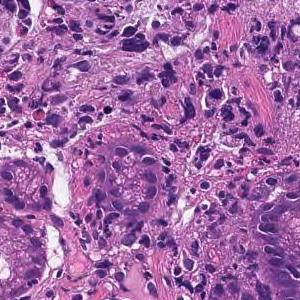
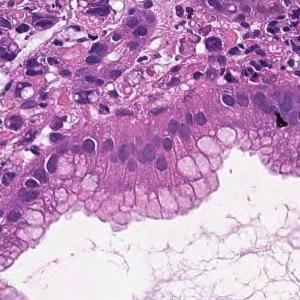
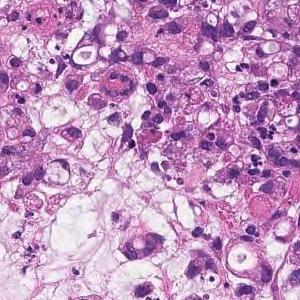
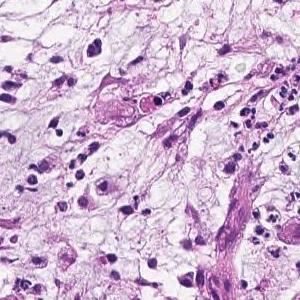
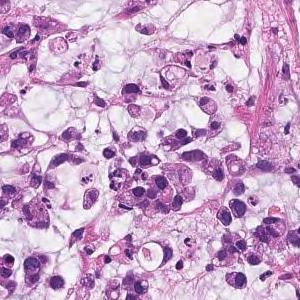
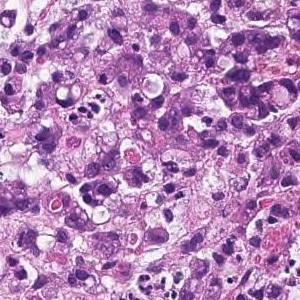
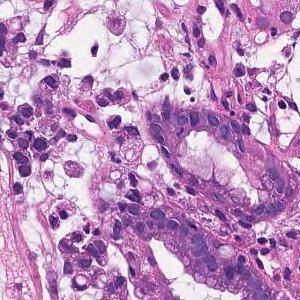
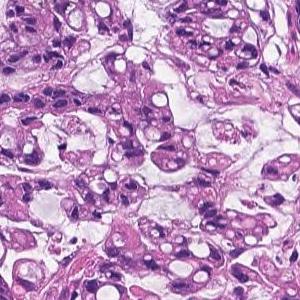
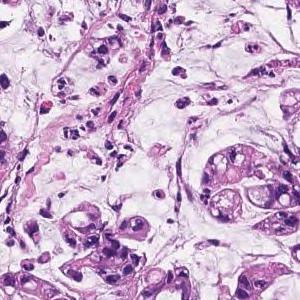
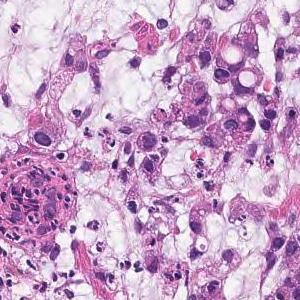
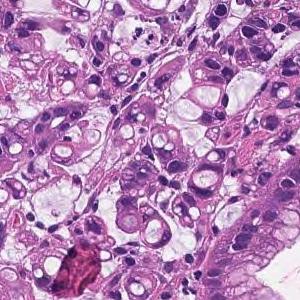
Hematoxylin and eosin stain; 20× magnification; 11 tiles cut from one stomach biopsy slide; 300×300 px each.
Pathology report for the biopsy slide these tiles were cut from. The report and the diagnosis describe the slide as a whole, so these tiles may not show every feature named and may include non-tumor tissue.
Tumor tissue consisting of cord-like or small, irregular glandular ducts fused and infiltrated is observed in the superficial epithelium. Poorly differentiated adenocarcinoma, non-solid type
The non-solid type named here is a Japanese Classification of Gastric Carcinoma category.
